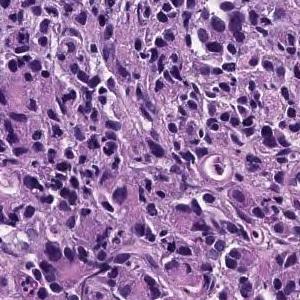
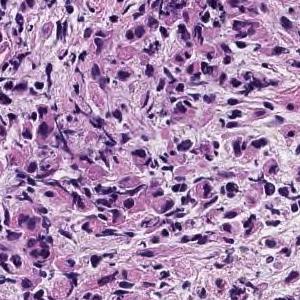
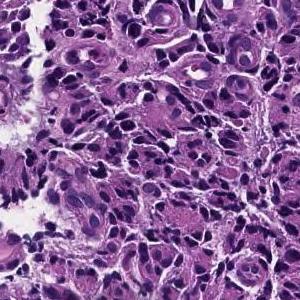
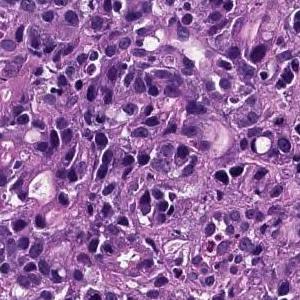
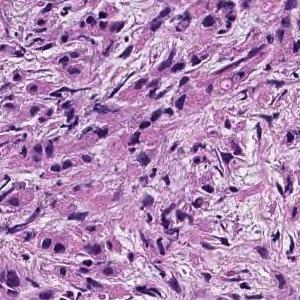
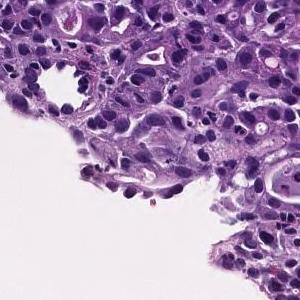
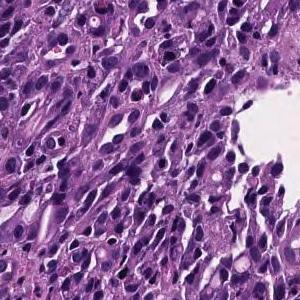
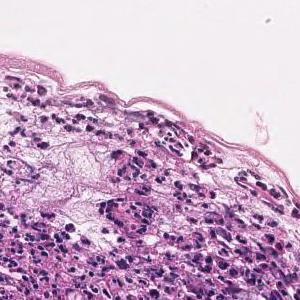
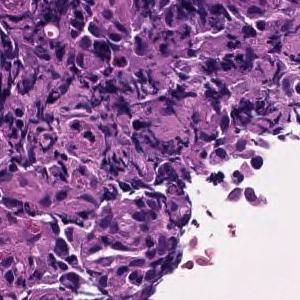
Hematoxylin and eosin stain · 9 patches cut from one gastric biopsy slide · 300 × 300 pixels each.
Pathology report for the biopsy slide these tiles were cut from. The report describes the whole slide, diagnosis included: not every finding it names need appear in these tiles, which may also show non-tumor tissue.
The superficial epithelium shows a large sheet-like shape, and some tumor tissue infiltrates with small irregular ducts. Poorly differentiated adenocarcinoma, solid-type
Classified as poorly differentiated adenocarcinoma, solid type, a category of the Japanese Classification of Gastric Carcinoma; in the WHO 2019 classification it is tubular adenocarcinoma, poorly differentiated.
